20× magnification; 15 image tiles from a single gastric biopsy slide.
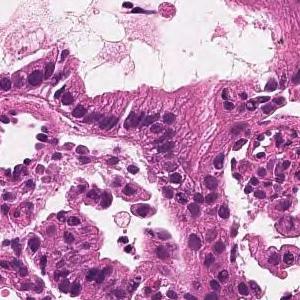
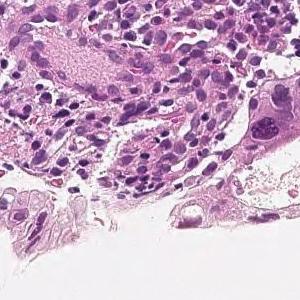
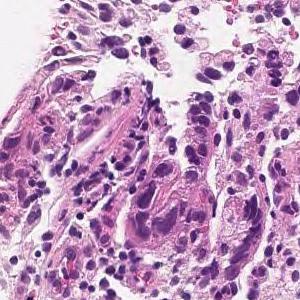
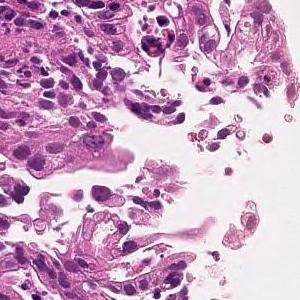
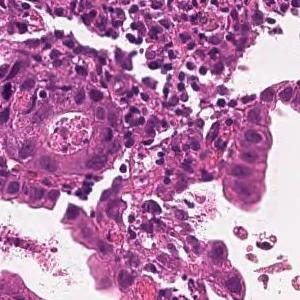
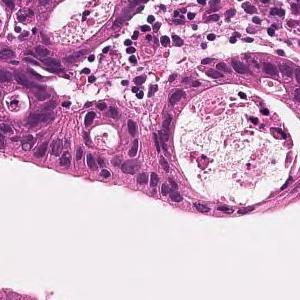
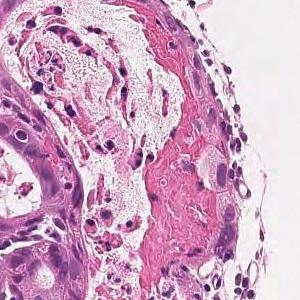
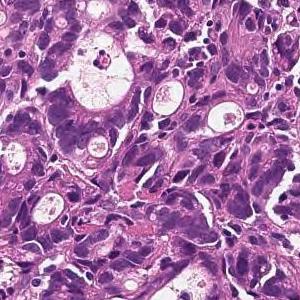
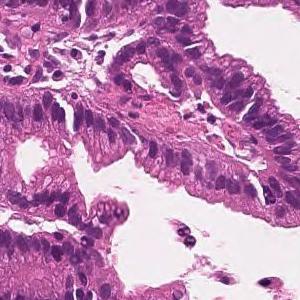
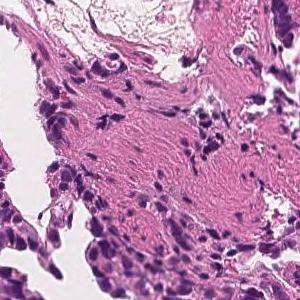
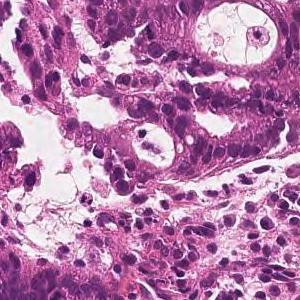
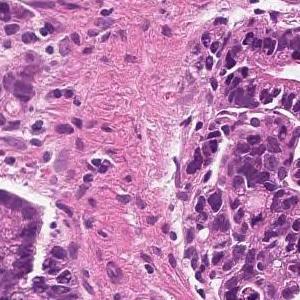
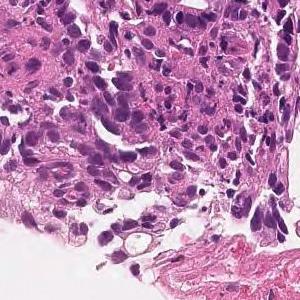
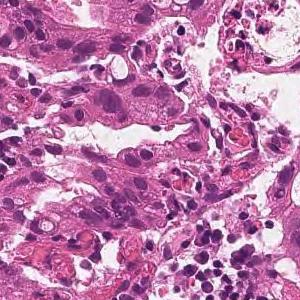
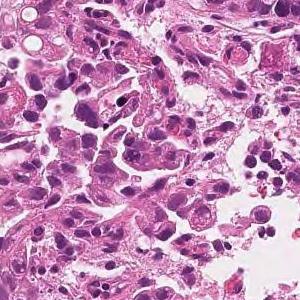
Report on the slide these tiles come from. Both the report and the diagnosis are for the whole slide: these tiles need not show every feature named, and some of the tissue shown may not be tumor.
On the superficial epithelium, tumor tissue is found in which medium-sized irregular gland ducts fuse with each other and infiltrate. moderately differentiated tubular adenocarcinoma
